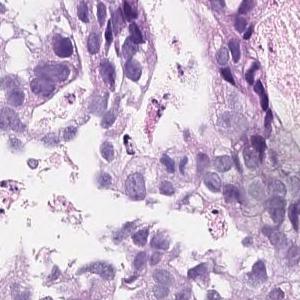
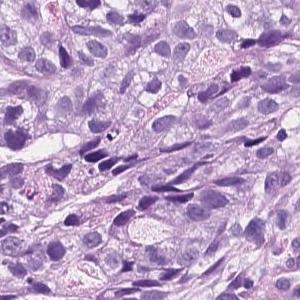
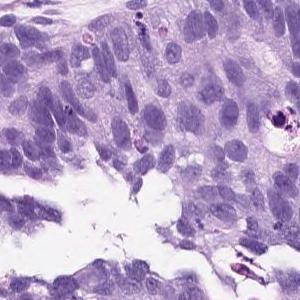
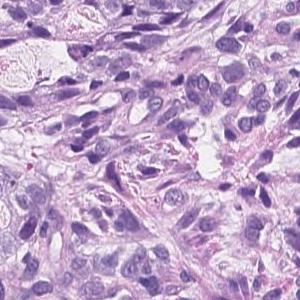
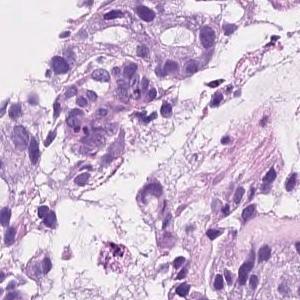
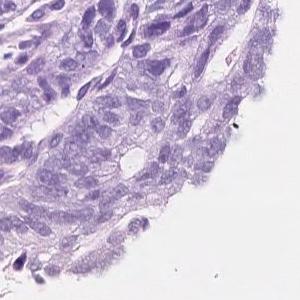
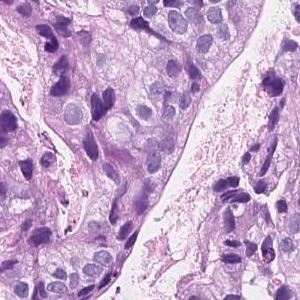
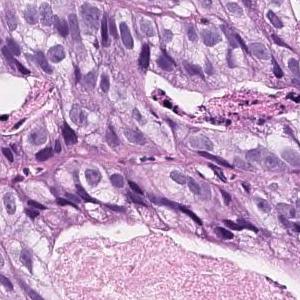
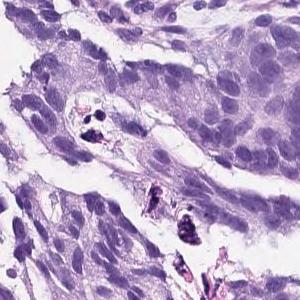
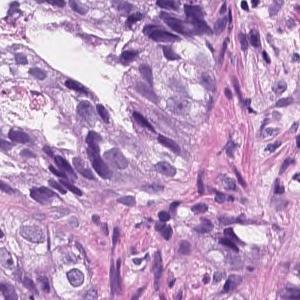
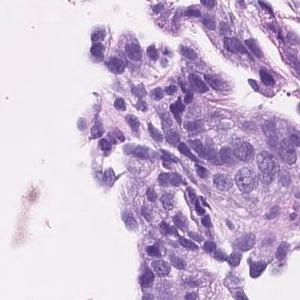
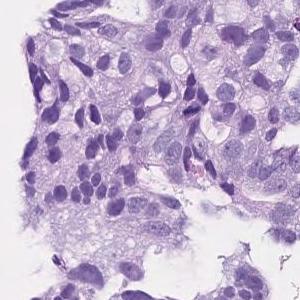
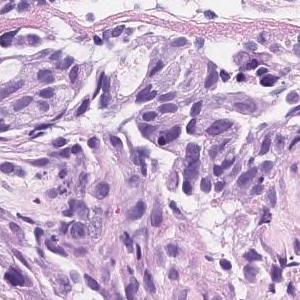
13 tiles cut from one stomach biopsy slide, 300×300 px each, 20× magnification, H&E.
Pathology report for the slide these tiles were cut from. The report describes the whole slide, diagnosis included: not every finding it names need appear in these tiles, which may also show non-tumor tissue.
On the superficial epithelium, tumor tissue consisting of an image of large, irregular glandular ducts partially fused and infiltrated is observed. Well to moderately differentiated tubular adenocarcinoma
